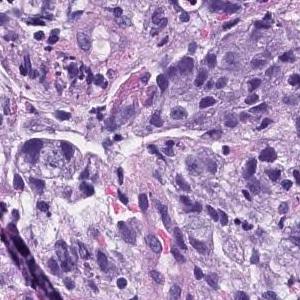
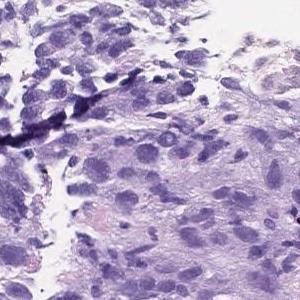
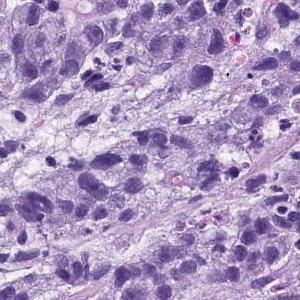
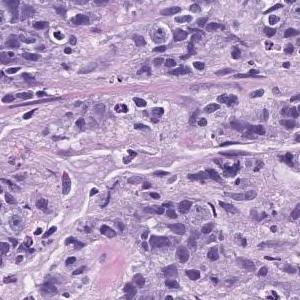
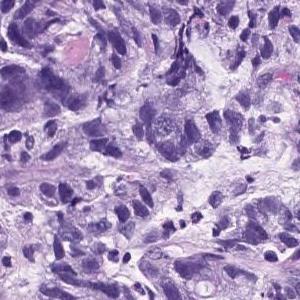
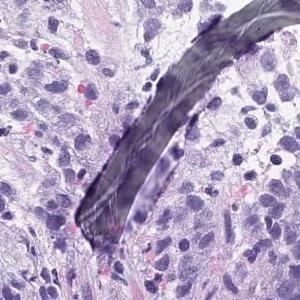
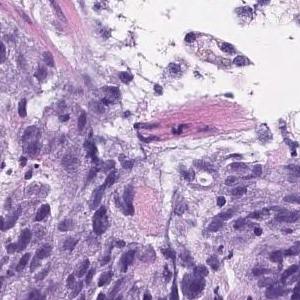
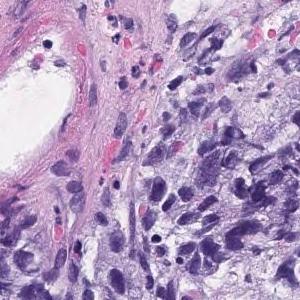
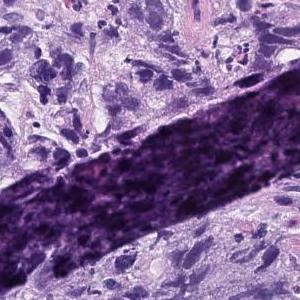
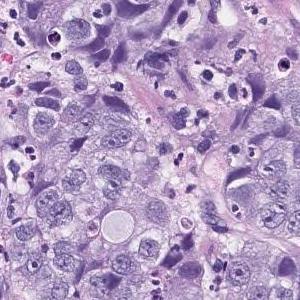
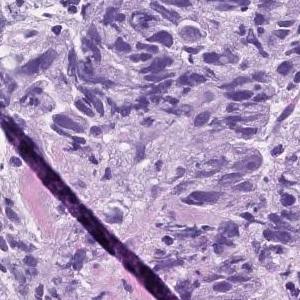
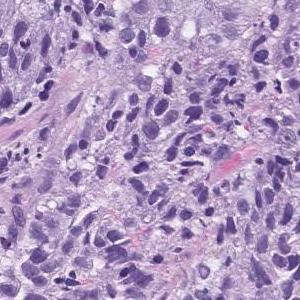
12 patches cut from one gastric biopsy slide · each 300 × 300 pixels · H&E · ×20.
Report on the slide these tiles come from. The findings and the diagnosis refer to the entire slide; these tiles show only part of it, possibly with non-tumor tissue, and may not show every feature named.
Atypical l cells with atypical nuclei forming solid vesicles or small irregular atypical ducts that proliferate in a complex manner. poorly differentiated adenocarcinoma, solid type, moderately differentiated tubular adenocarcinoma
The solid type named here is a Japanese Classification of Gastric Carcinoma category; WHO 2019 calls it tubular adenocarcinoma, poorly differentiated.
